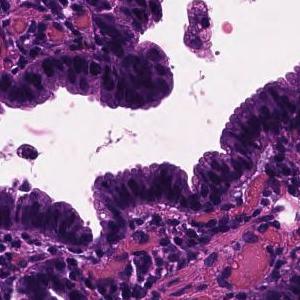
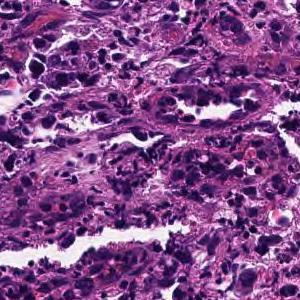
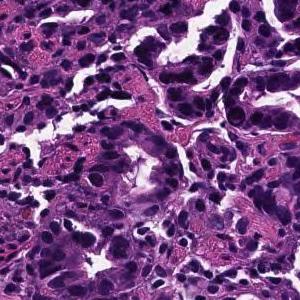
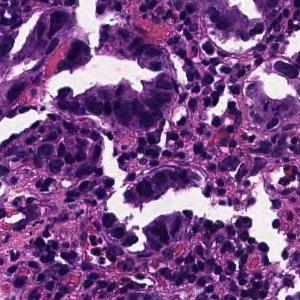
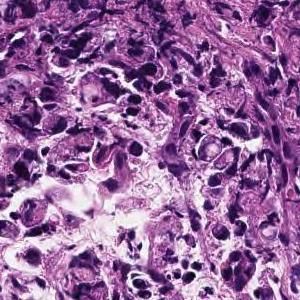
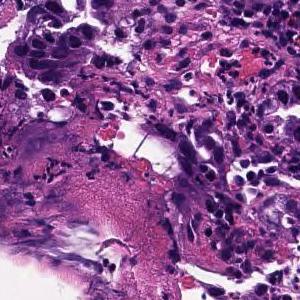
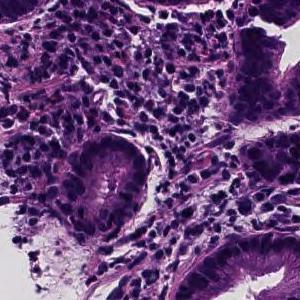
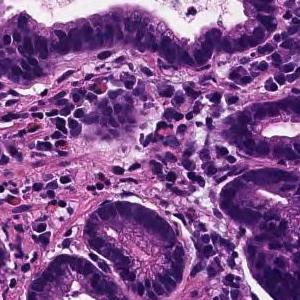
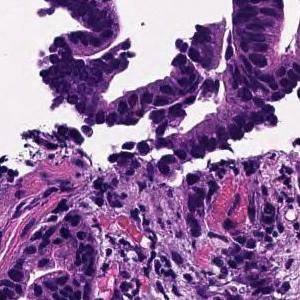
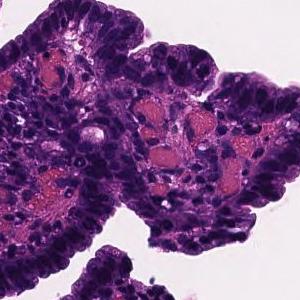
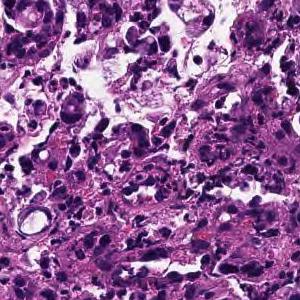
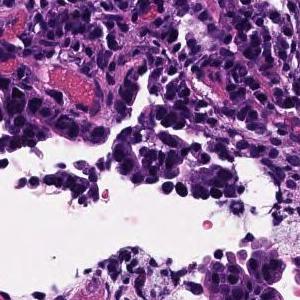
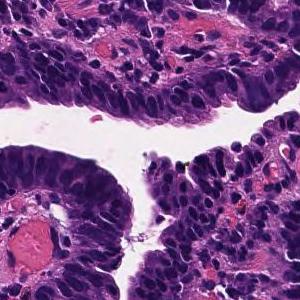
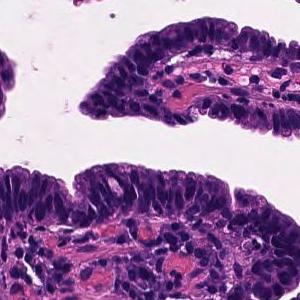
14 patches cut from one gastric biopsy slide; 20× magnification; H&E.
Report on the slide these tiles come from. What the report and the diagnosis say applies to the whole slide; these tiles may miss some of the features named and may include tissue that is not tumor.
On the superficial epithelium, tumor tissue that infiltrates by forming medium-sized papillary or small irregular ducts is observed. Papillary adenocarcinoma
